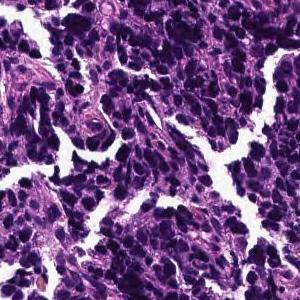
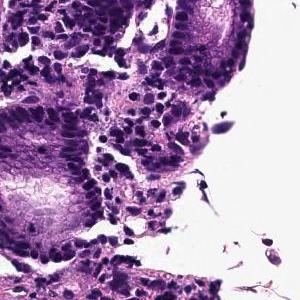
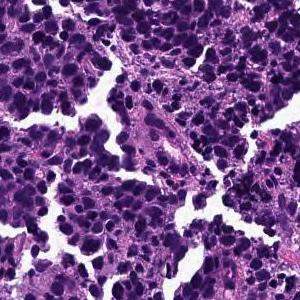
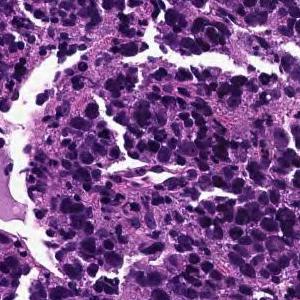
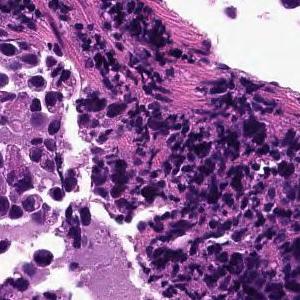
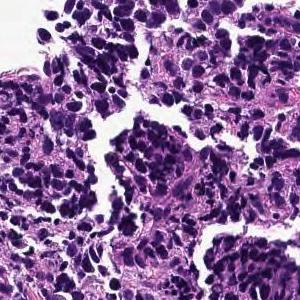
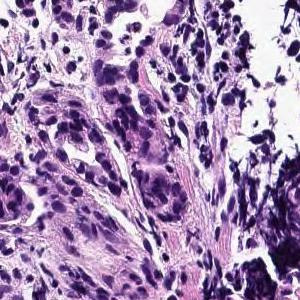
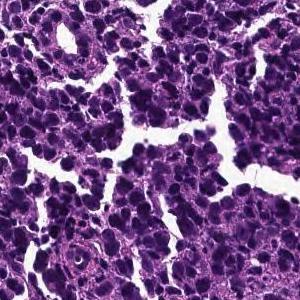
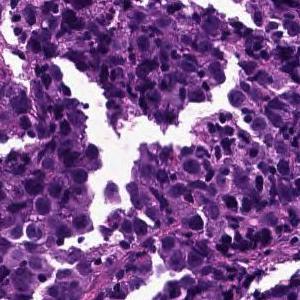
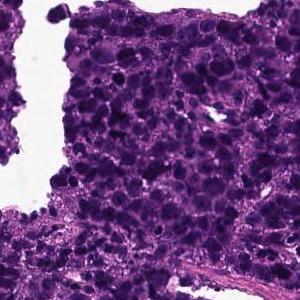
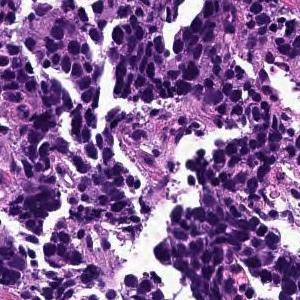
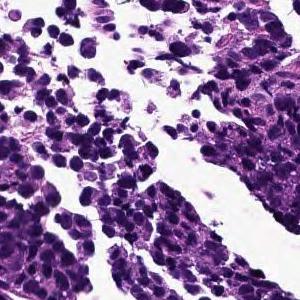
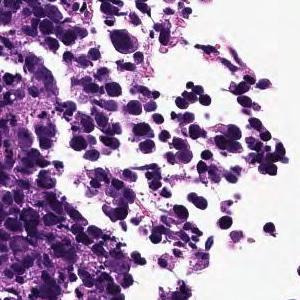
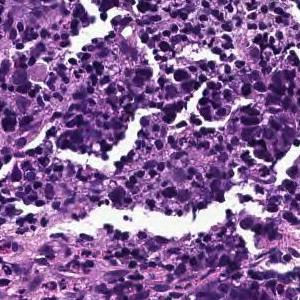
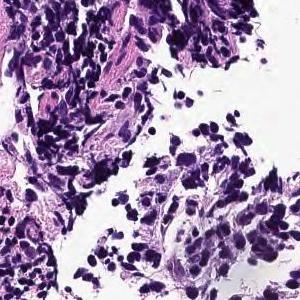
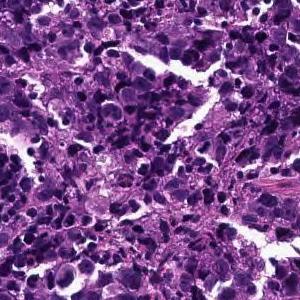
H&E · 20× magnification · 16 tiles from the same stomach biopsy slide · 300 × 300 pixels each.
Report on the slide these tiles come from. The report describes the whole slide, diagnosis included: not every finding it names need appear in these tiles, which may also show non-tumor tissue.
The superficial epithelium shows large alveolar or sheet-like forms, and some tumor tissue infiltrates with small irregular ducts. Poorly differentiated adenocarcinoma, solid-type
Classified as poorly differentiated adenocarcinoma, solid type, a category of the Japanese Classification of Gastric Carcinoma; in the WHO 2019 classification it is tubular adenocarcinoma, poorly differentiated.
